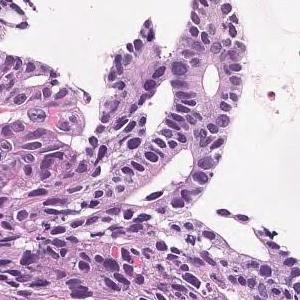
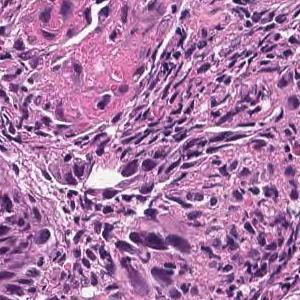
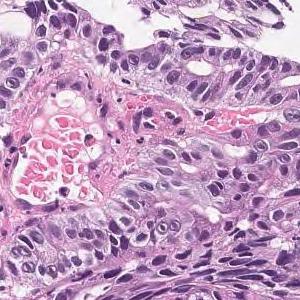
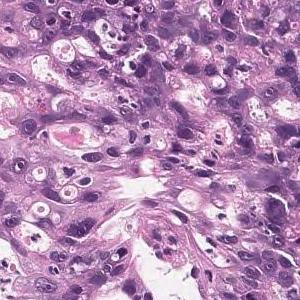
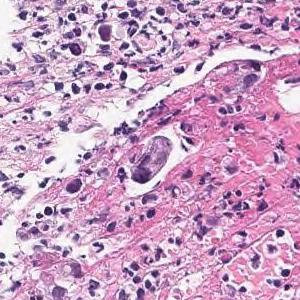
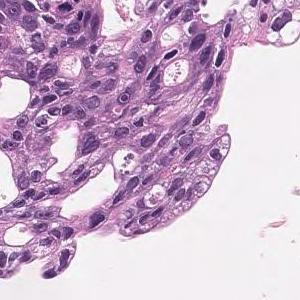
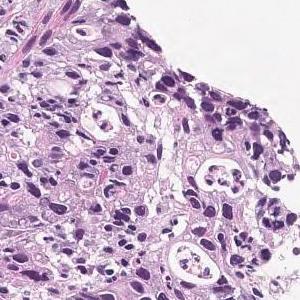
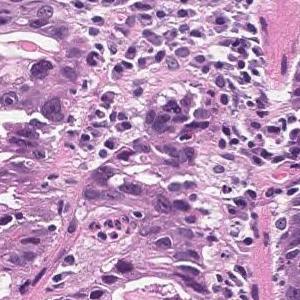
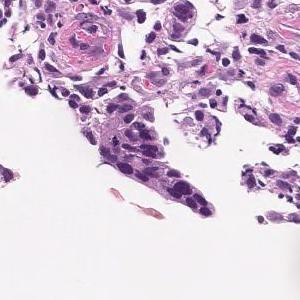
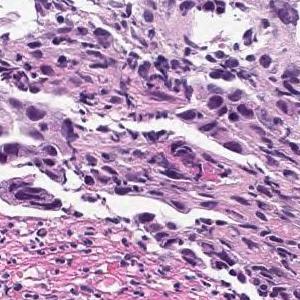
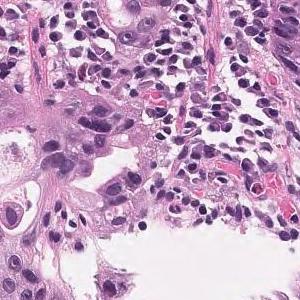
11 tiles from the same stomach biopsy slide; H&E; 20× magnification.
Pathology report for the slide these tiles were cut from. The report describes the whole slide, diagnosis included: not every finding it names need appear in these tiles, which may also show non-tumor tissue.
Tumor cells are large, highly columnar, large club-shaped nuclei, and are associated with chromatin aggregation. Papillary adenocarcinoma.
